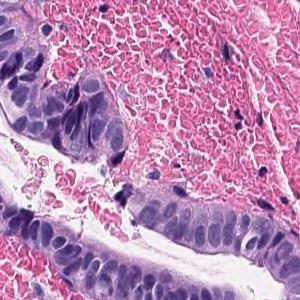
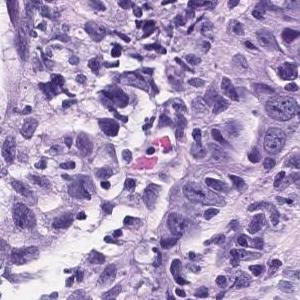
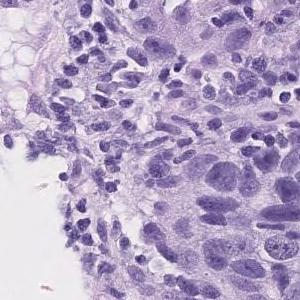
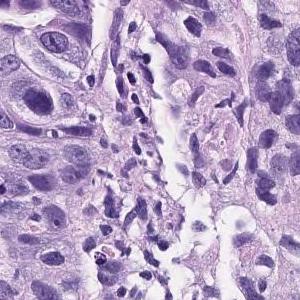
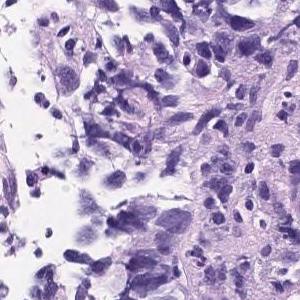
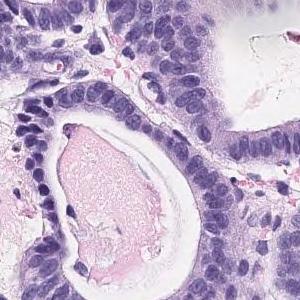
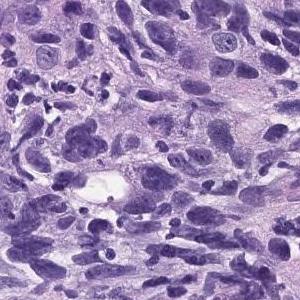
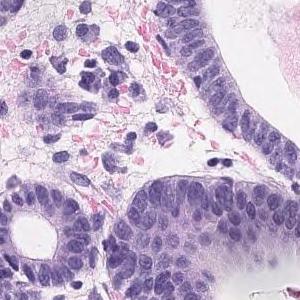
Scanned at ×20, 8 image tiles from a single gastric biopsy slide, each 300 × 300 pixels.
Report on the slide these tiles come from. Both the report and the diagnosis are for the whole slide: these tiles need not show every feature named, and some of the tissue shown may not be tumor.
The superficial epithelium shows a large sheet-like shape, and some tumor tissue infiltrates with small irregular ducts. Poorly differentiated adenocarcinoma, solid-type
Tumor subtype: poorly differentiated adenocarcinoma, solid type, a category of the Japanese Classification of Gastric Carcinoma; in the WHO 2019 classification it is tubular adenocarcinoma, poorly differentiated.
